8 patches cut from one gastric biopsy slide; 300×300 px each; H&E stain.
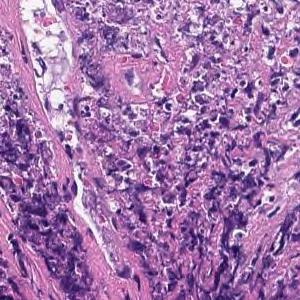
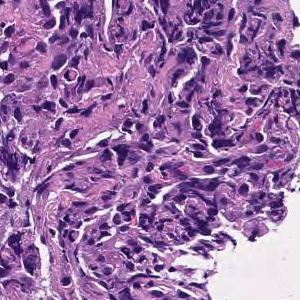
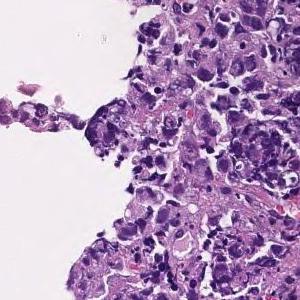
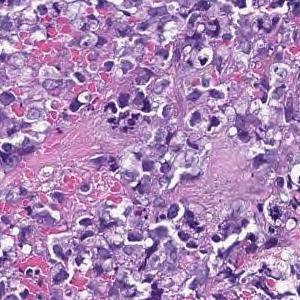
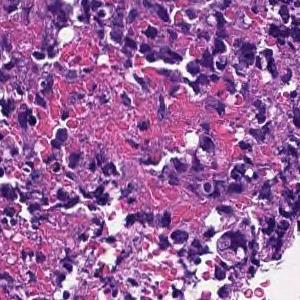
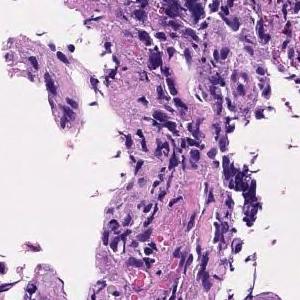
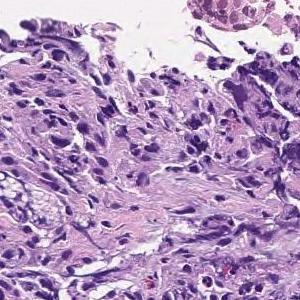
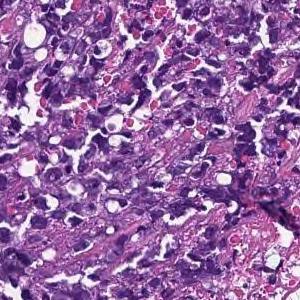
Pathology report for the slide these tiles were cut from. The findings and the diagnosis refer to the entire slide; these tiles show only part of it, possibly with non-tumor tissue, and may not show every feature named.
Most are composed of coagulative necrotic tissue, but some show a large sheet-like shape, and some show tumor tissue infiltrating with a small cord-like structure. Poorly differentiated adenocarcinoma, solid-type
Histologic type: Poorly differentiated adenocarcinoma, solid type (Japanese Classification of Gastric Carcinoma). The WHO 2019 equivalent is tubular adenocarcinoma, poorly differentiated.
